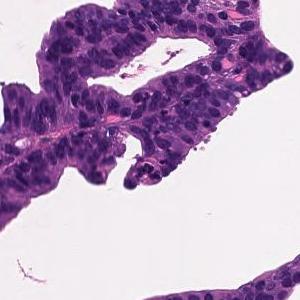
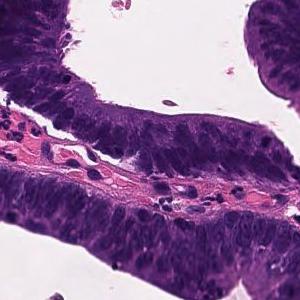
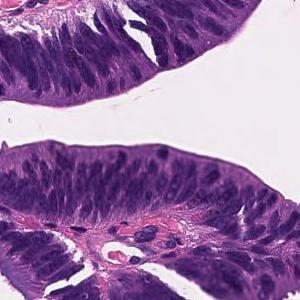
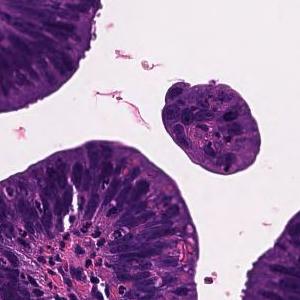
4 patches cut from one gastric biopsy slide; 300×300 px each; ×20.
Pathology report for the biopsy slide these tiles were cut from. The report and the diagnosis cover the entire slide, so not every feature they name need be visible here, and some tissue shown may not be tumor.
Tumor tissue consisting of large papillary structures is found in the superficial epithelium. Papillary adenocarcinoma.
